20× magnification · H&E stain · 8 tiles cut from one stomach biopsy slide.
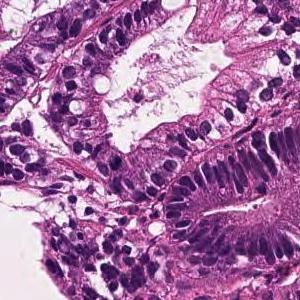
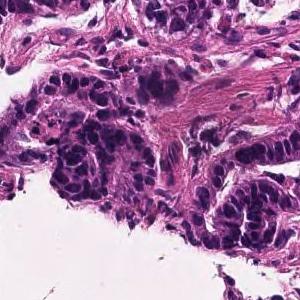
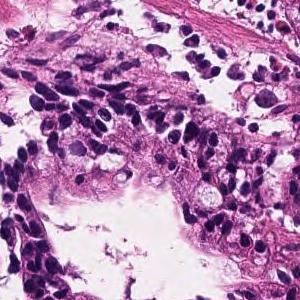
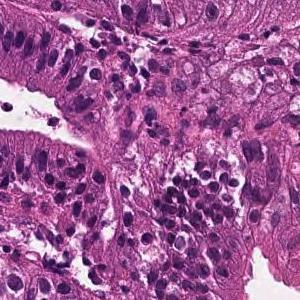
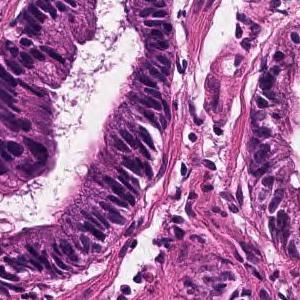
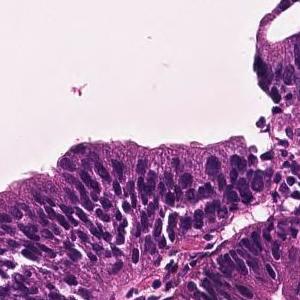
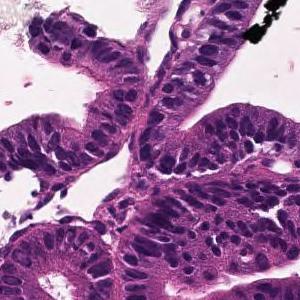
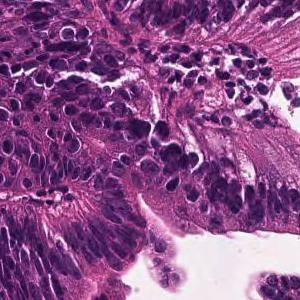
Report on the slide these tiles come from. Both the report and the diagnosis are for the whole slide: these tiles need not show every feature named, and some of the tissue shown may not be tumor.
A large irregular tubular structure is exhibited in the epithelium, and tumor tissue that partially fuses and infiltrates and proliferates is observed. Large columnar tumor cells exhibit enlarged nucleus, hyperchromatism, and mitotic figures. Well differentiated tubular adenocarcinoma
